Scanned at ×20; H&E stain; 5 image tiles from a single gastric biopsy slide.
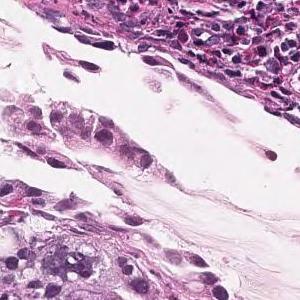
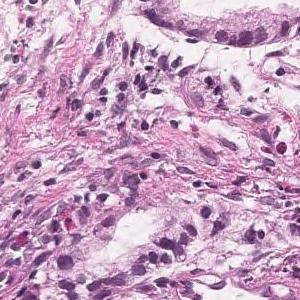
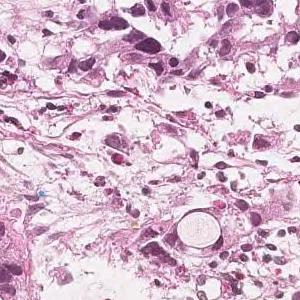
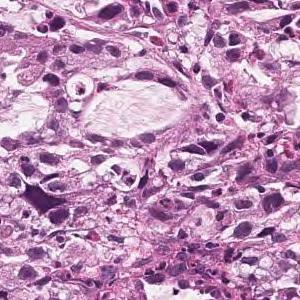
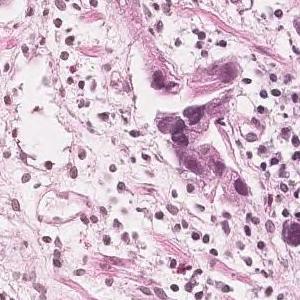
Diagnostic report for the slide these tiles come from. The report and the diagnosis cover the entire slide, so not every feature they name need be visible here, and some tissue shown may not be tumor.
Tumor tissue consisting of medium-sized, cord-like or irregular glandular infiltration is observed in the superficial epithelium. Poorly differentiated adenocarcinoma, non-solid type or moderately differentiated tubular adenocarcinoma
The non-solid type named here is a Japanese Classification of Gastric Carcinoma category.
